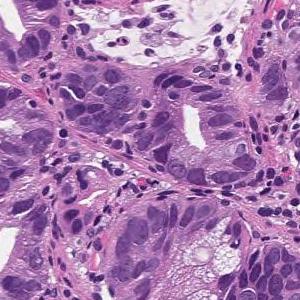
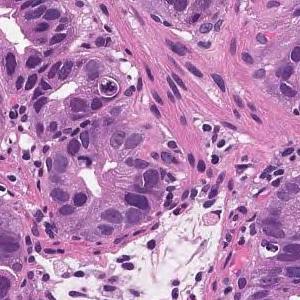
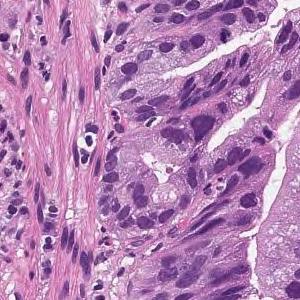
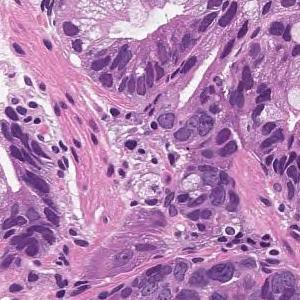
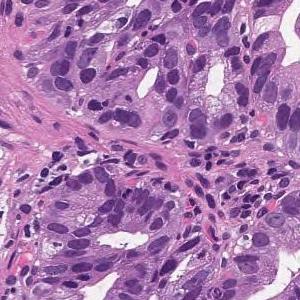
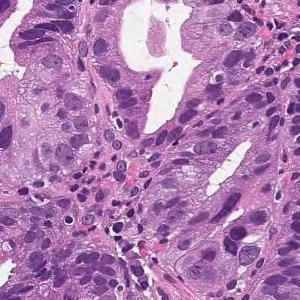
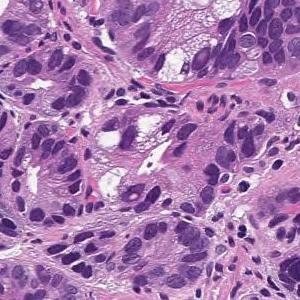
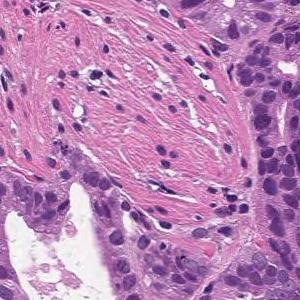
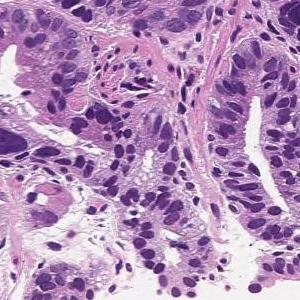
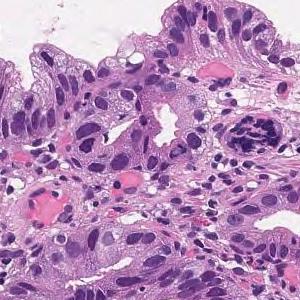
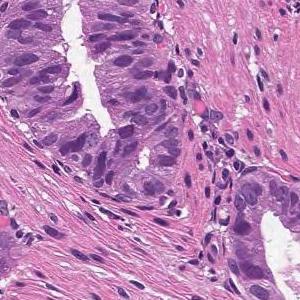
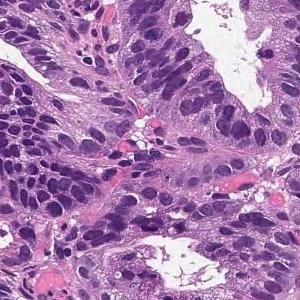
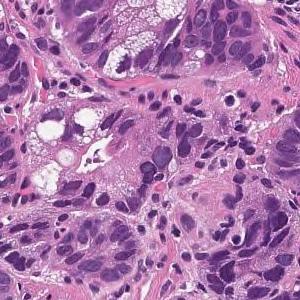
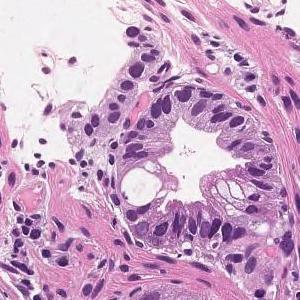
H&E stain, 14 image tiles from a single gastric biopsy slide, 300×300 px each.
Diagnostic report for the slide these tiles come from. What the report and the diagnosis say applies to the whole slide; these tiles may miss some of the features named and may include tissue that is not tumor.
On the superficial epithelium, tumor tissue consisting of large irregular glandular ducts partially fused and infiltrated is observed. Well to moderately differentiated tubular adenocarcinoma (well differentiated tubular adenocarcinoma, moderately differentiated tubular adenocarcinoma)
Tumor subtype: well to moderately differentiated tubular adenocarcinoma.
